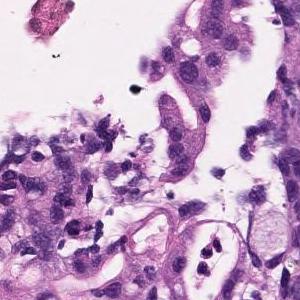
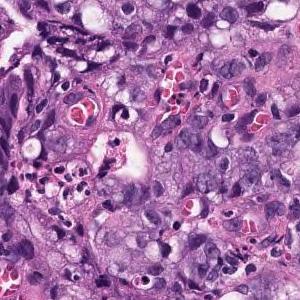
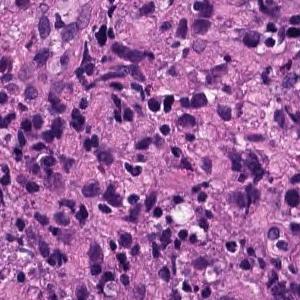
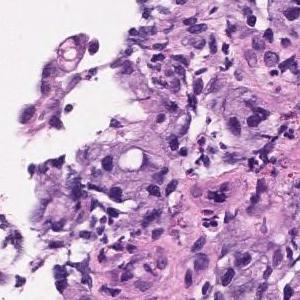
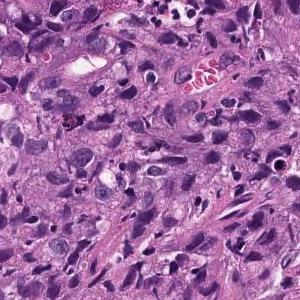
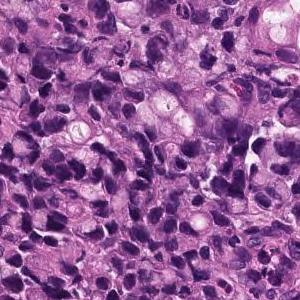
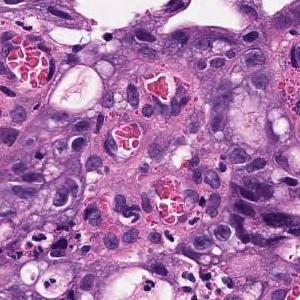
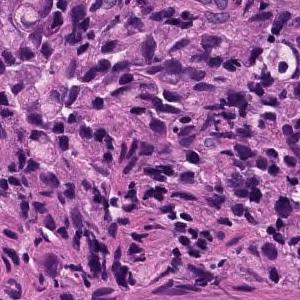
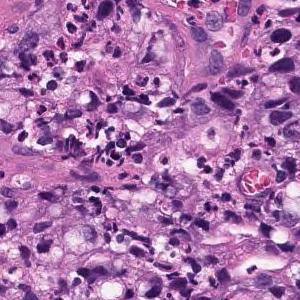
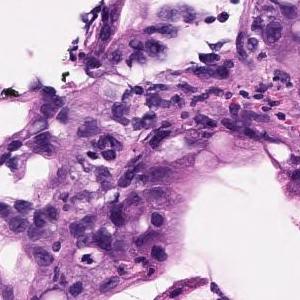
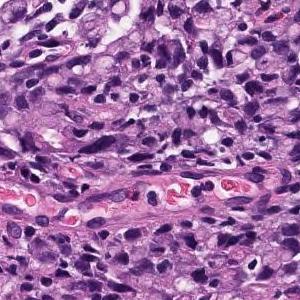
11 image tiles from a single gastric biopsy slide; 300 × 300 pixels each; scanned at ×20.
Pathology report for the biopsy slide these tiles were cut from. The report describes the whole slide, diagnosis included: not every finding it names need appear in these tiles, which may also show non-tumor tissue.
Atypical epithelium forms irregularly fused gland ducts and proliferates. Poorly differentiated adenocarcinoma.
Histologic type: Poorly differentiated adenocarcinoma, non-solid type.
The non-solid type named here is a Japanese Classification of Gastric Carcinoma category.
